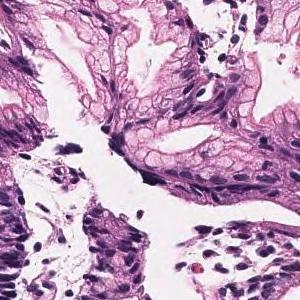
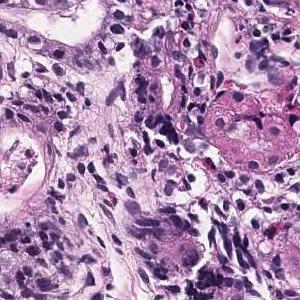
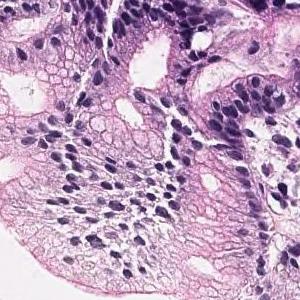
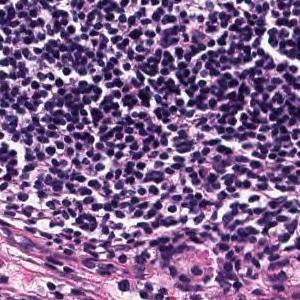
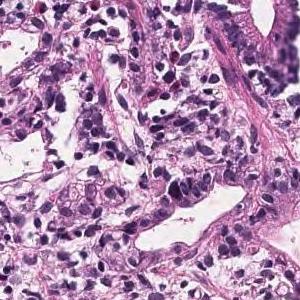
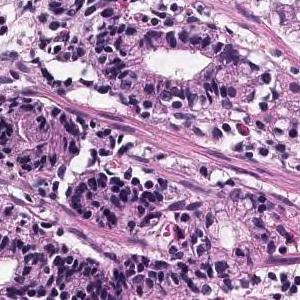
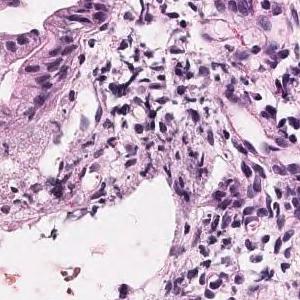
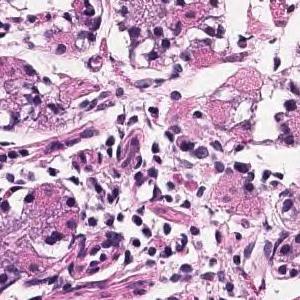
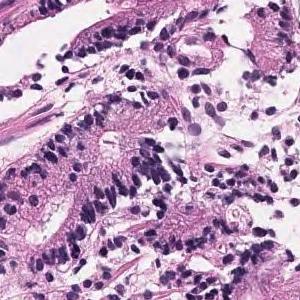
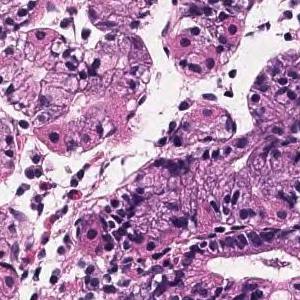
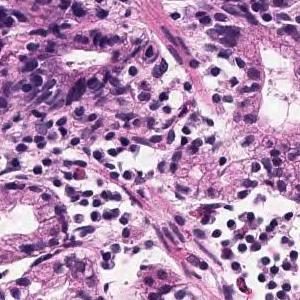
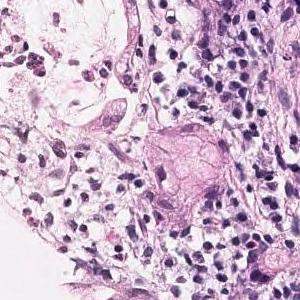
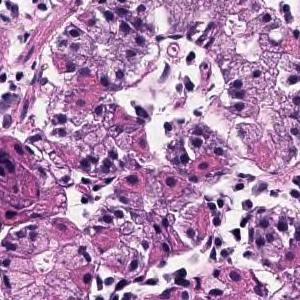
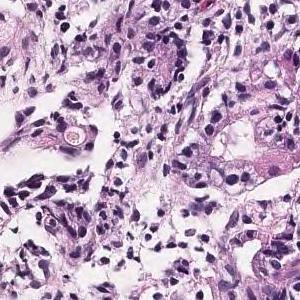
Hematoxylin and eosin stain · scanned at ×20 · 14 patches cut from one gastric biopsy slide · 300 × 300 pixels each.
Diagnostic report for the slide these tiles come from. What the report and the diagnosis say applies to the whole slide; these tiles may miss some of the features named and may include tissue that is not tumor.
Tumor tissue that grows and grows is observed, showing a medium-sized round or irregular duct. moderately differentiated tubular adenocarcinoma
